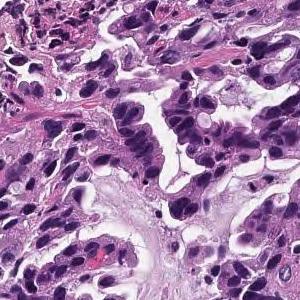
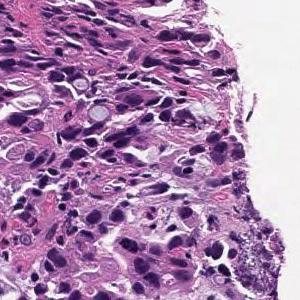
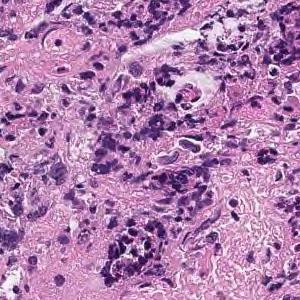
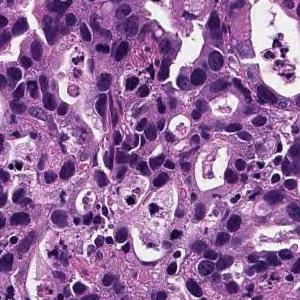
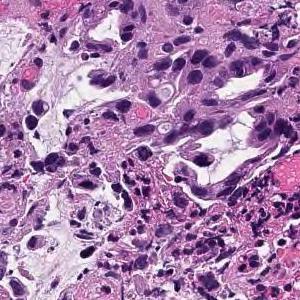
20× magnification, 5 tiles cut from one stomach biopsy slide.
Pathology report for the slide these tiles were cut from. The report and the diagnosis describe the slide as a whole, so these tiles may not show every feature named and may include non-tumor tissue.
In the superficial epithelium, tumor tissue that invades by forming medium-sized to small, irregular ducts is observed. moderately differentiated tubular adenocarcinoma.
